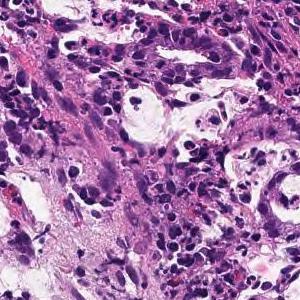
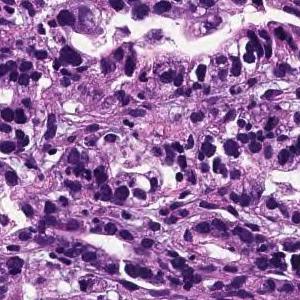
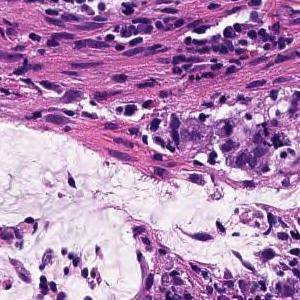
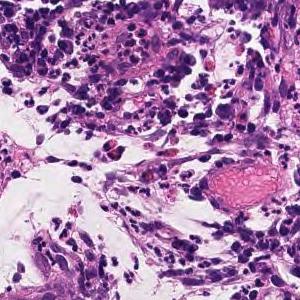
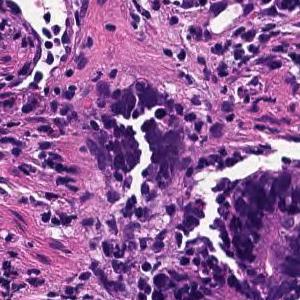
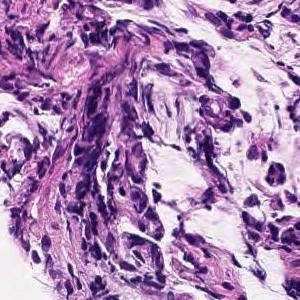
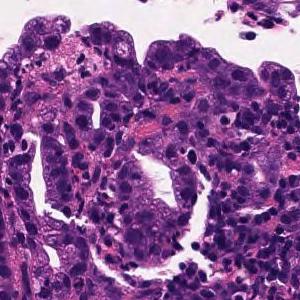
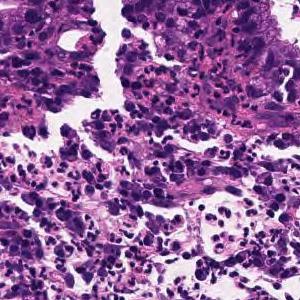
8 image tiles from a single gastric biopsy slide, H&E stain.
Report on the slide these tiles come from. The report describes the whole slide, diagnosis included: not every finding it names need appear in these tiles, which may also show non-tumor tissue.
On the superficial epithelium, tumor tissue consisting of large, irregular glandular ducts partially fused and infiltrated is observed. Well to moderately differentiated tubular adenocarcinoma (well differentiated tubular adenocarcinoma, moderately differentiated tubular adenocarcinoma)
Classified as well to moderately differentiated tubular adenocarcinoma.
